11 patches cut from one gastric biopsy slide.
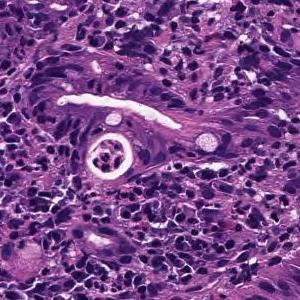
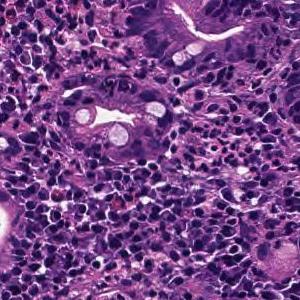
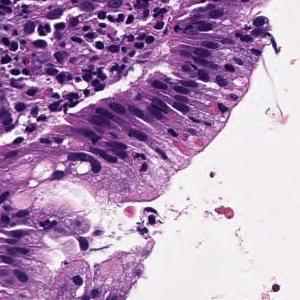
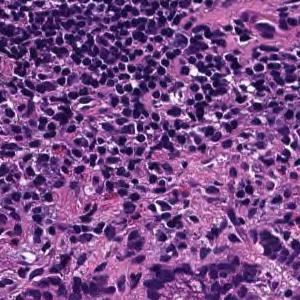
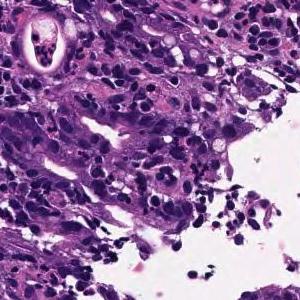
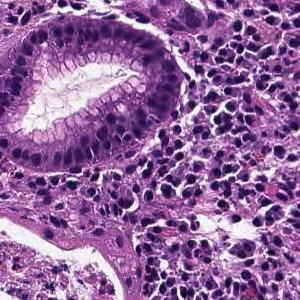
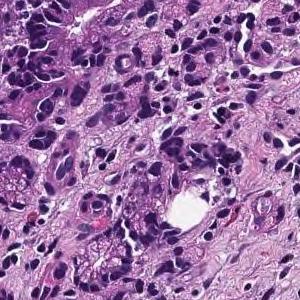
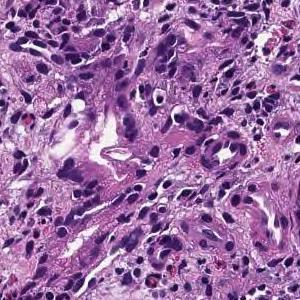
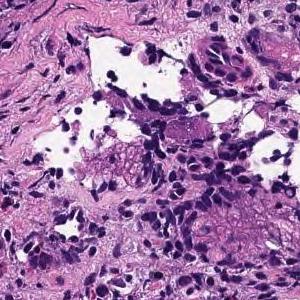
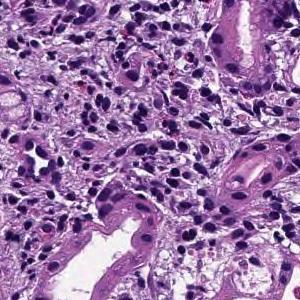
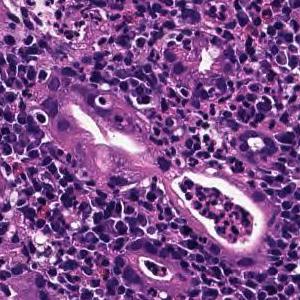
Pathology report for the slide these tiles were cut from. The findings and the diagnosis refer to the entire slide; these tiles show only part of it, possibly with non-tumor tissue, and may not show every feature named.
In the superficial epithelium, tumor tissue that invades by forming medium-sized to small, irregular ducts is observed. moderately differentiated tubular adenocarcinoma.
